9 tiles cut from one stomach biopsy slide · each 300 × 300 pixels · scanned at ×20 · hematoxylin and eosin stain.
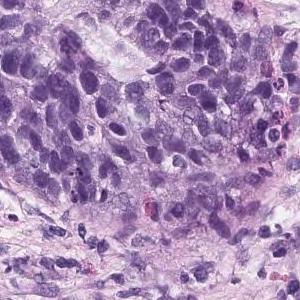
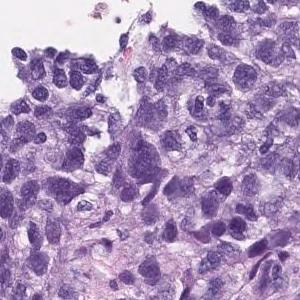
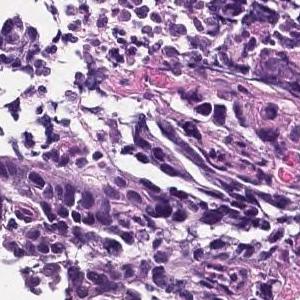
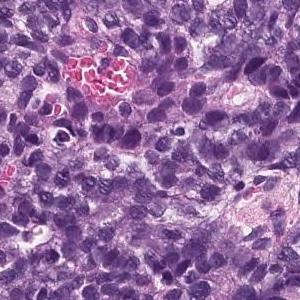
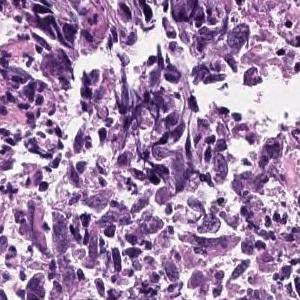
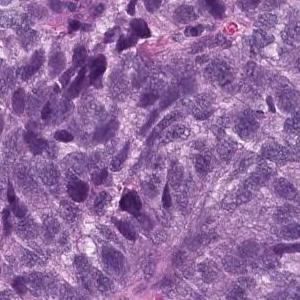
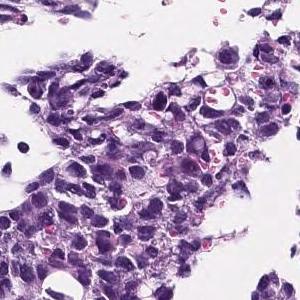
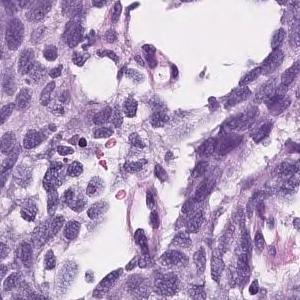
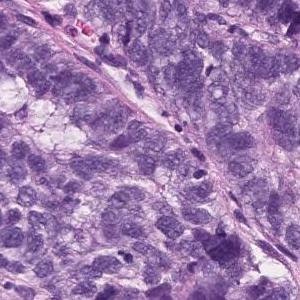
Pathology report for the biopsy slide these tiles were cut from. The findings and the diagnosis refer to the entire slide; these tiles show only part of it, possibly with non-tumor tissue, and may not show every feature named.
Epithelial cells with swollen nuclei with atypia invasively proliferating while forming vesicles is observed. Poorly differentiated adenocarcinoma
Tumor subtype: poorly differentiated adenocarcinoma, solid type. This name comes from the Japanese Classification of Gastric Carcinoma; the WHO 2019 classification calls it tubular adenocarcinoma, poorly differentiated.
